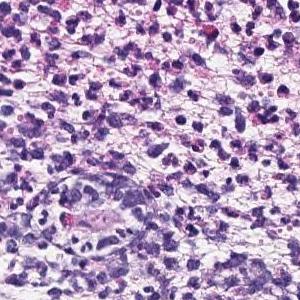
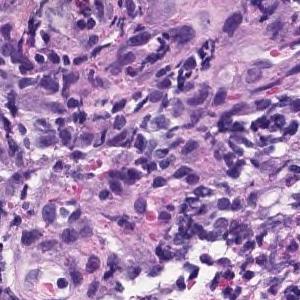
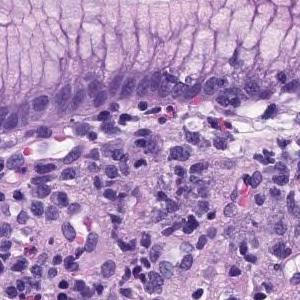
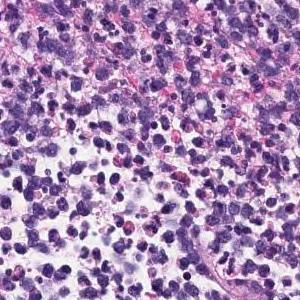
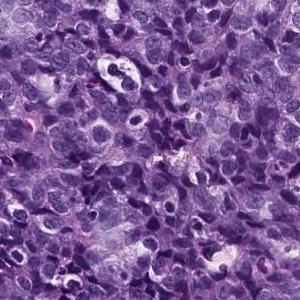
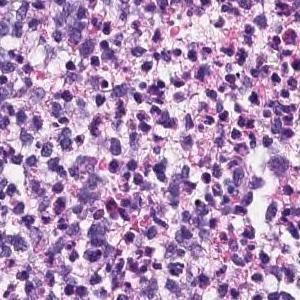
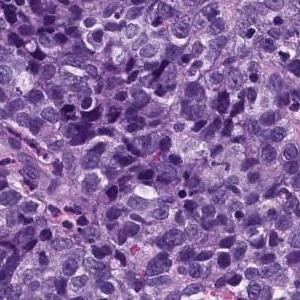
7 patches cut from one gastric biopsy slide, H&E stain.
The pathologist's report on the biopsy slide these tiles were taken from. The report and the diagnosis cover the entire slide, so not every feature they name need be visible here, and some tissue shown may not be tumor.
The superficial epithelium shows a large sheet-like shape, and some tumor tissue infiltrates with small irregular ducts. Poorly differentiated adenocarcinoma, solid-type
Histologic type: Poorly differentiated adenocarcinoma, solid type. This name comes from the Japanese Classification of Gastric Carcinoma; the WHO 2019 classification calls it tubular adenocarcinoma, poorly differentiated.
